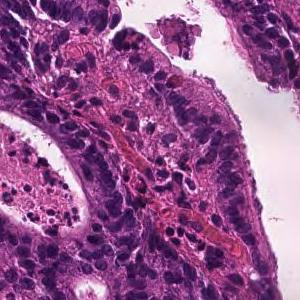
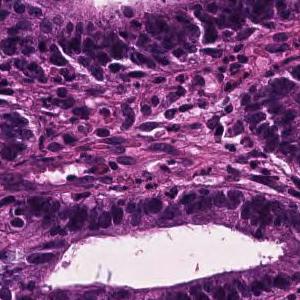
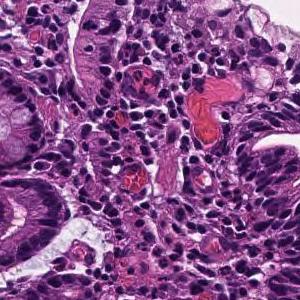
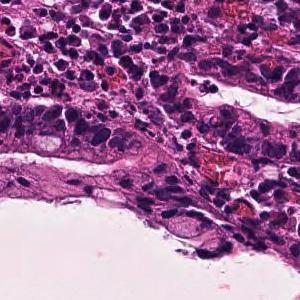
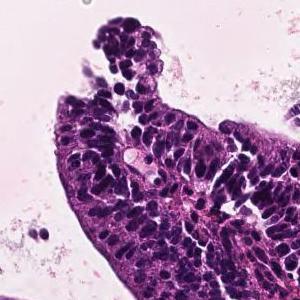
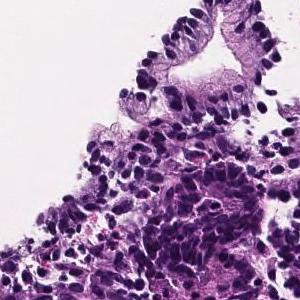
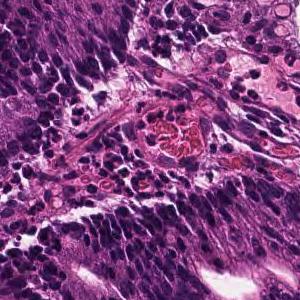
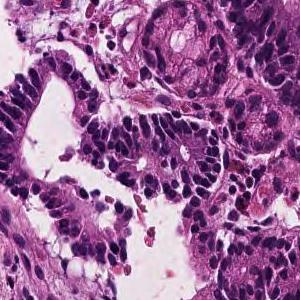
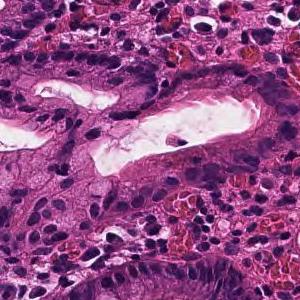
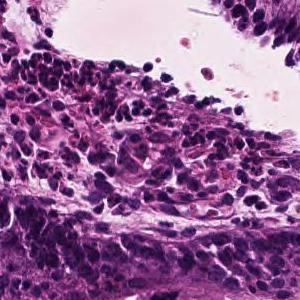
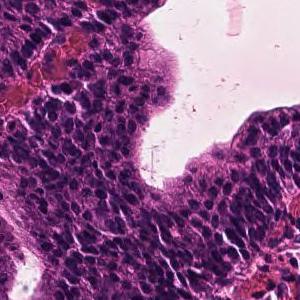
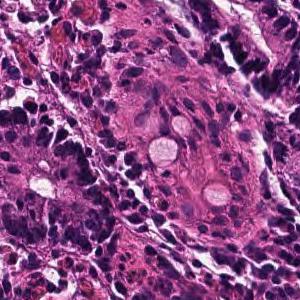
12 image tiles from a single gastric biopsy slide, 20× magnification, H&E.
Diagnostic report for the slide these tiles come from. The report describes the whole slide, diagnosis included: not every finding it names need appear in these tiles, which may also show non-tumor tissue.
In the superficial epithelium, tumor tissue that invades by forming medium-sized to small, irregular ducts is observed. moderately differentiated tubular adenocarcinoma.
